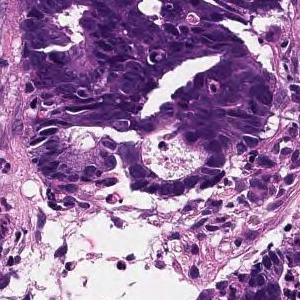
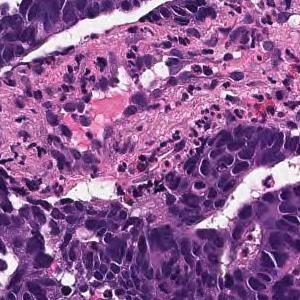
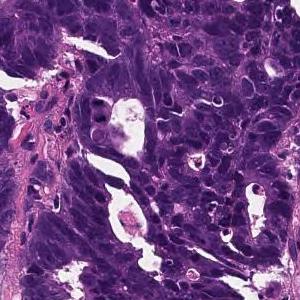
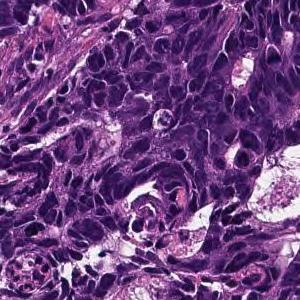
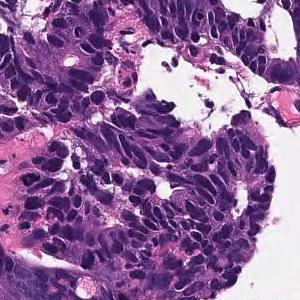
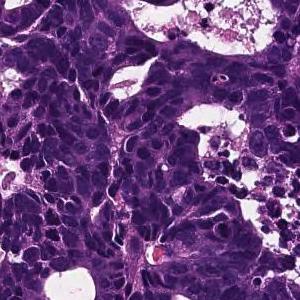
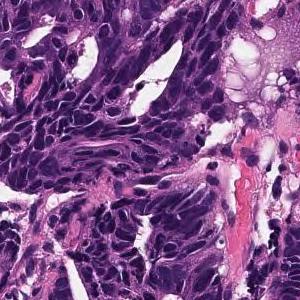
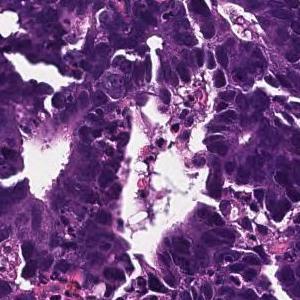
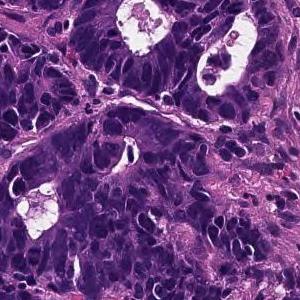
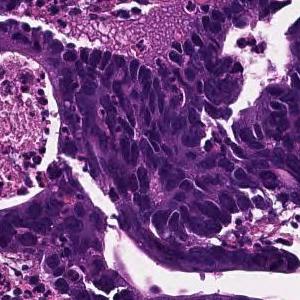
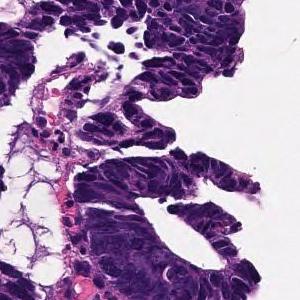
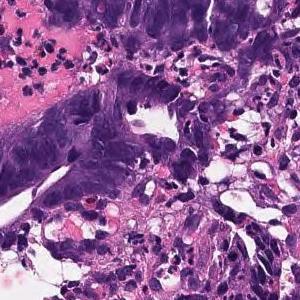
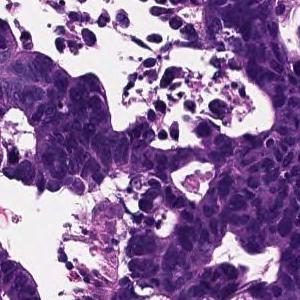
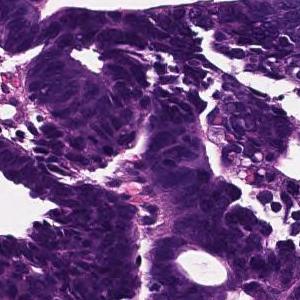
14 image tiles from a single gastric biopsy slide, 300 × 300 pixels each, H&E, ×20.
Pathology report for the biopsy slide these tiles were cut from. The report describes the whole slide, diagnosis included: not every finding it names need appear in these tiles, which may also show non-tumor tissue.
In the superficial epithelium, tumor tissue that invades by forming medium-sized to small, irregular ducts is observed. moderately differentiated tubular adenocarcinoma.
